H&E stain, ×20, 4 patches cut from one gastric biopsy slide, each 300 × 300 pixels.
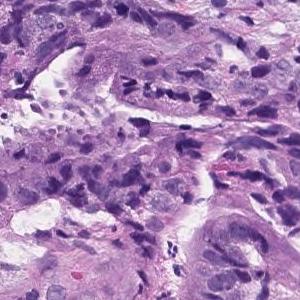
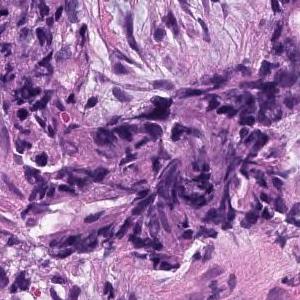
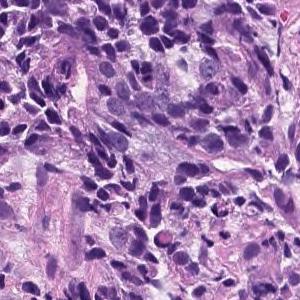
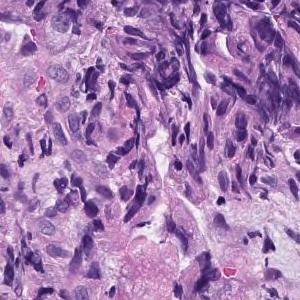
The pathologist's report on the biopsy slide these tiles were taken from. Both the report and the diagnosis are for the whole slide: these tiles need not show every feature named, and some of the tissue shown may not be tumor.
Medium to small, irregular glandular ducts are formed in the superficial epithelium, and in some cases, the glandular ducts are fused to show solid alveolar lesions and infiltrating tumor tissue is observed. Moderately to poorly differentiated adenocarcinoma.
